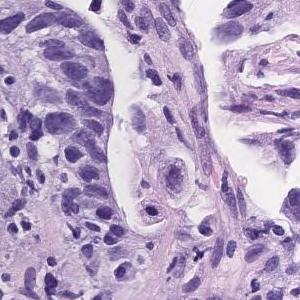
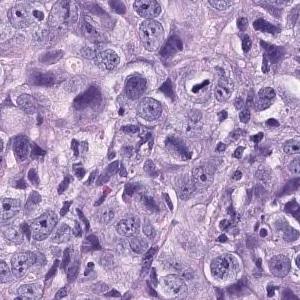
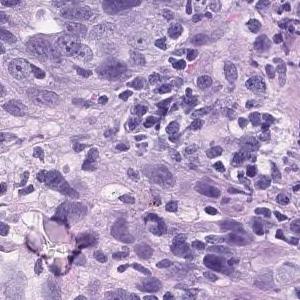
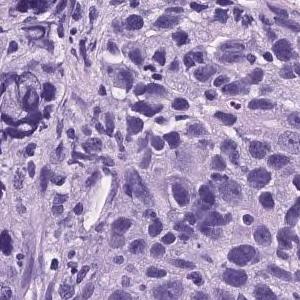
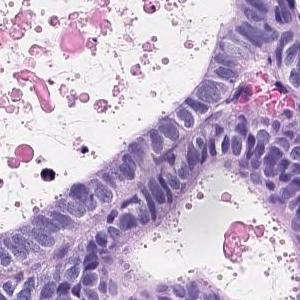
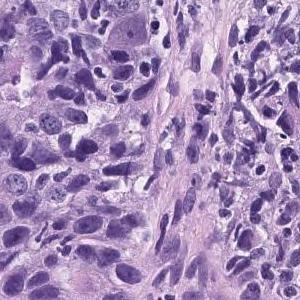
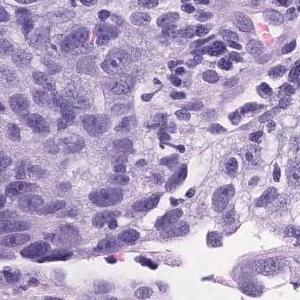
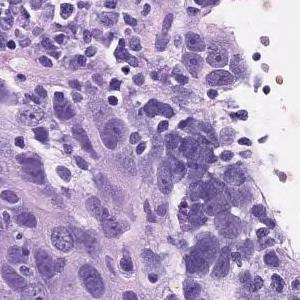
Scanned at ×20 · H&E stain · 8 image tiles from a single gastric biopsy slide · 300 × 300 pixels each.
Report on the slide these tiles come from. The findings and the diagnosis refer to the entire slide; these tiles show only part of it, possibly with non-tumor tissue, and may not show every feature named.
The superficial epithelium shows a large sheet-like shape, and some tumor tissue infiltrates with small irregular ducts. Poorly differentiated adenocarcinoma, solid-type
Histological subtype: Poorly differentiated adenocarcinoma, solid type. This name comes from the Japanese Classification of Gastric Carcinoma; the WHO 2019 classification calls it tubular adenocarcinoma, poorly differentiated.
